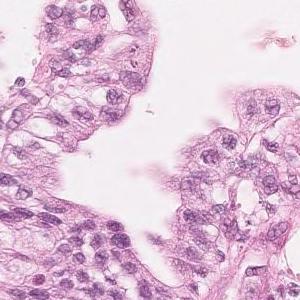
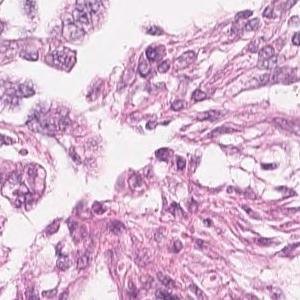
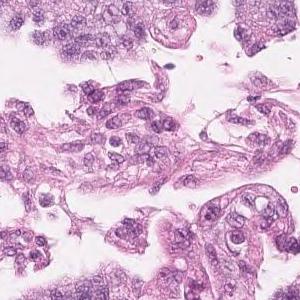
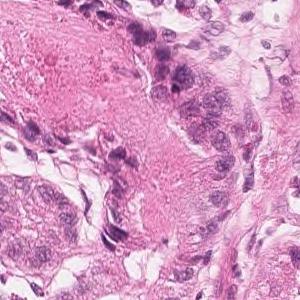
H&E; 4 tiles from the same stomach biopsy slide.
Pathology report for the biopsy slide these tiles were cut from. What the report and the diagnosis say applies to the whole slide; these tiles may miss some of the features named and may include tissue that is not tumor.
Highly columnar epithelium with disordered nuclear localization proliferates showing fusion ductal construction. moderately differentiated tubular adenocarcinoma
